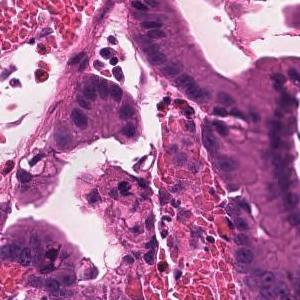
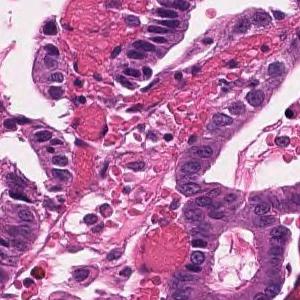
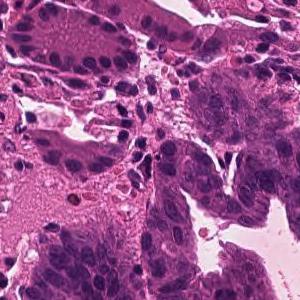
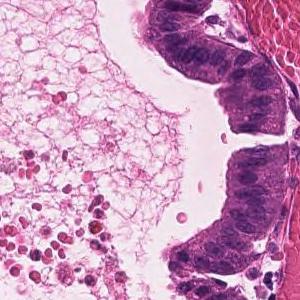
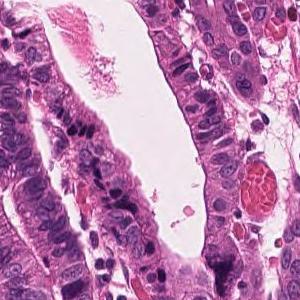
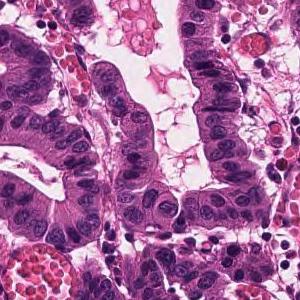
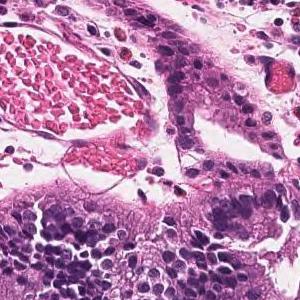
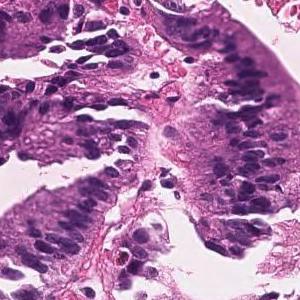
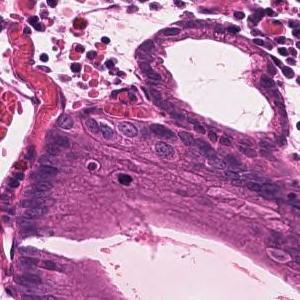
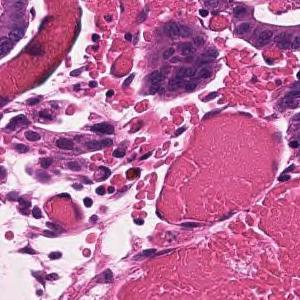
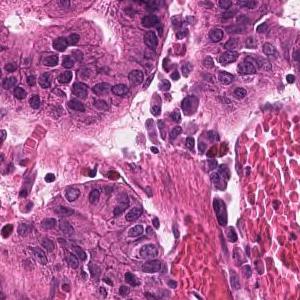
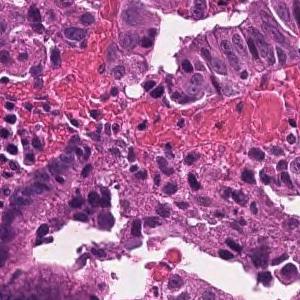
H&E · 12 tiles from the same stomach biopsy slide · each 300 × 300 pixels.
Report on the slide these tiles come from. Both the report and the diagnosis are for the whole slide: these tiles need not show every feature named, and some of the tissue shown may not be tumor.
Infiltrating tumor tissue with medium-sized, irregular ductal structure or large papillary appearance is observed. Well differentiated tubular adenocarcinoma
